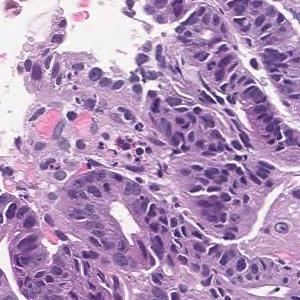
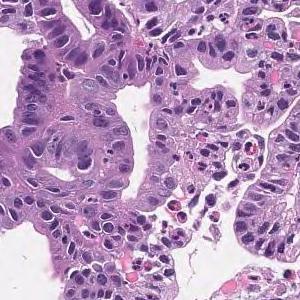
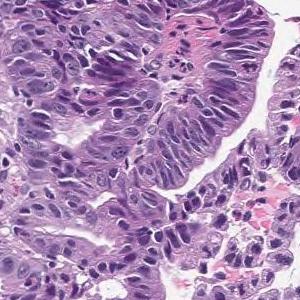
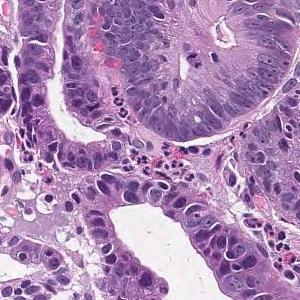
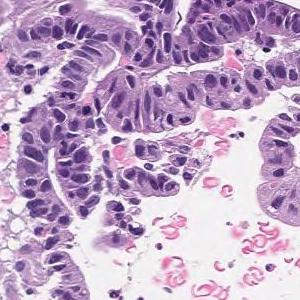
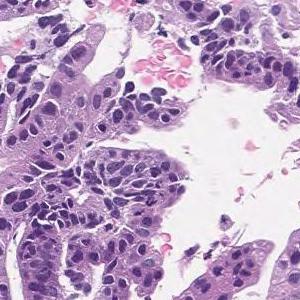
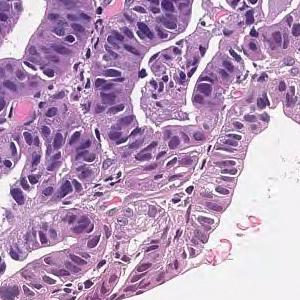
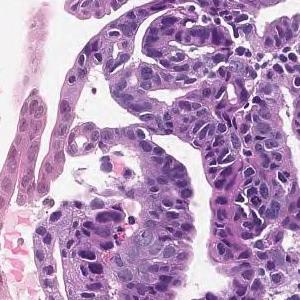
8 patches cut from one gastric biopsy slide · H&E.
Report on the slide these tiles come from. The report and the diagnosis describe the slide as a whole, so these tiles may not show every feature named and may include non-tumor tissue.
Tumor cells are large, highly columnar, large club-shaped nuclei, and are associated with chromatin aggregation. Papillary adenocarcinoma.
